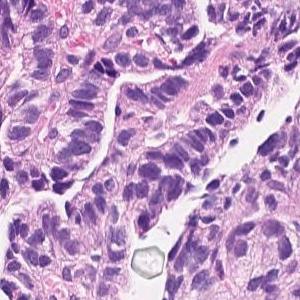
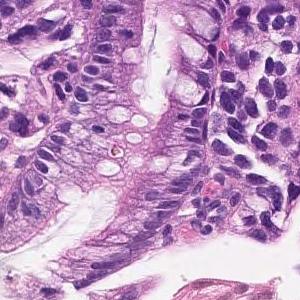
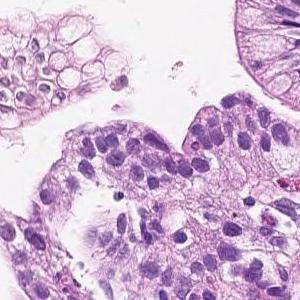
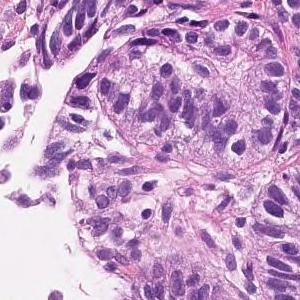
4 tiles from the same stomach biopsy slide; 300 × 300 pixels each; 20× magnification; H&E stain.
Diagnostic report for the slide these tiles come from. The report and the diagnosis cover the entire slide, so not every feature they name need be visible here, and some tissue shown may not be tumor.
On the superficial epithelium, there is a tumor tissue consisting of medium to small, irregular tubules that are partially fused and proliferated. Well to moderately differentiated tubular adenocarcinoma
